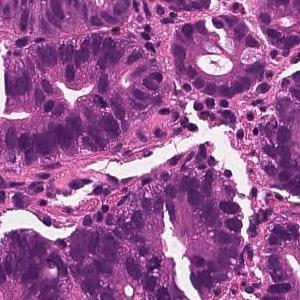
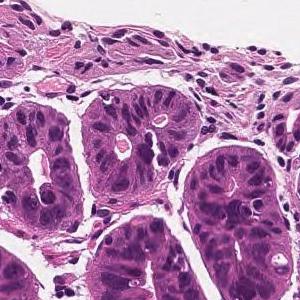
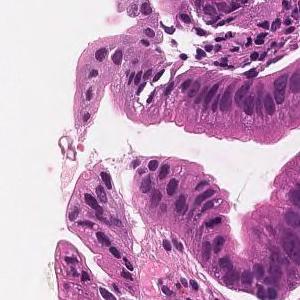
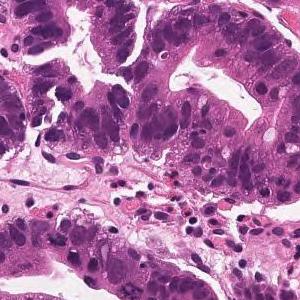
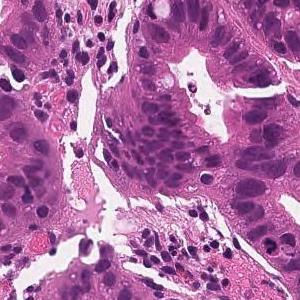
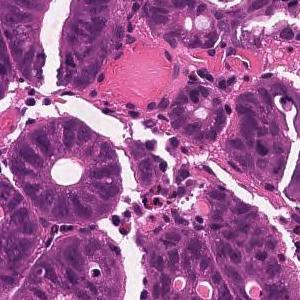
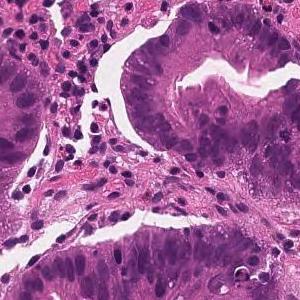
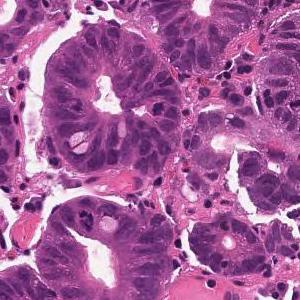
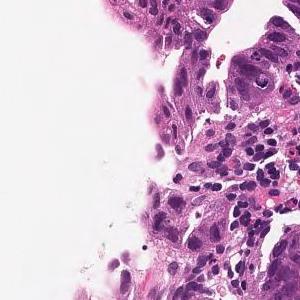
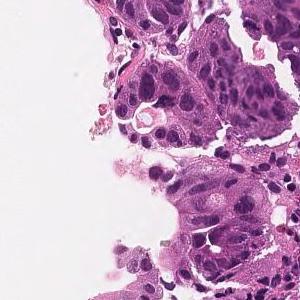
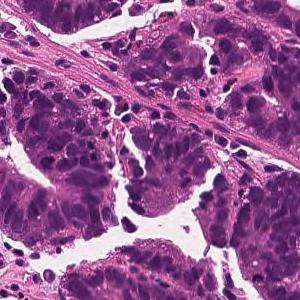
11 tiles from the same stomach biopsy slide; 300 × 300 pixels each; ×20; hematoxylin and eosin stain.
Pathology report for the slide these tiles were cut from. The report and the diagnosis cover the entire slide, so not every feature they name need be visible here, and some tissue shown may not be tumor.
From the superficial epithelium to the muscularis mucosae, tumor tissue consisting of medium-sized and irregular glandular ducts infiltrating is observed. Well differentiated tubular adenocarcinoma
